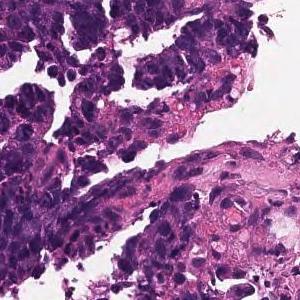
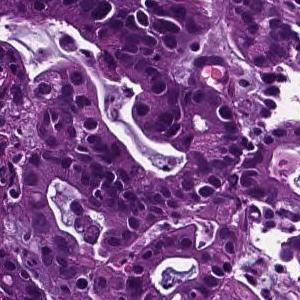
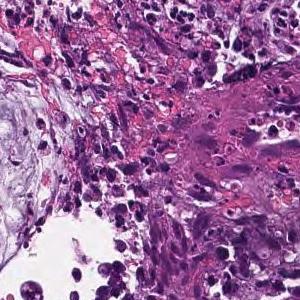
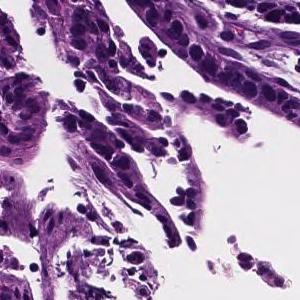
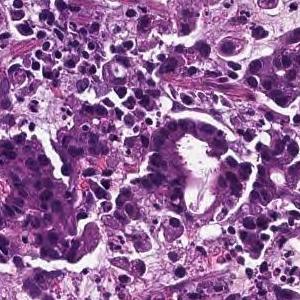
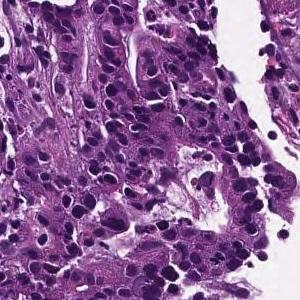
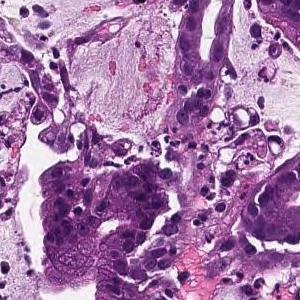
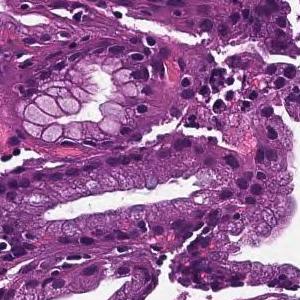
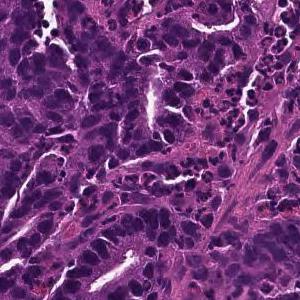
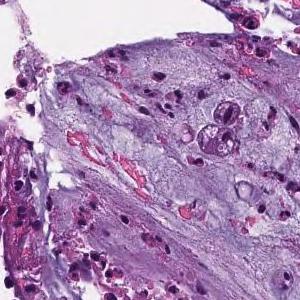
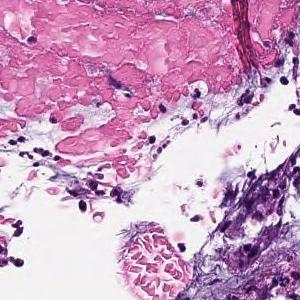
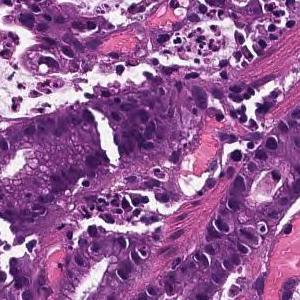
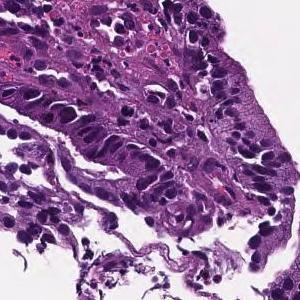
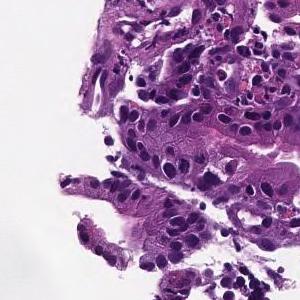
14 patches cut from one gastric biopsy slide; H&E.
Pathology report for the slide these tiles were cut from. What the report and the diagnosis say applies to the whole slide; these tiles may miss some of the features named and may include tissue that is not tumor.
On the superficial epithelium, tumor tissue consisting of large irregular glandular ducts partially fused and infiltrated is observed. Well to moderately differentiated tubular adenocarcinoma (well differentiated tubular adenocarcinoma, moderately differentiated tubular adenocarcinoma)
Histological subtype: Well to moderately differentiated tubular adenocarcinoma.
